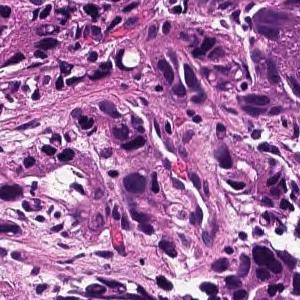
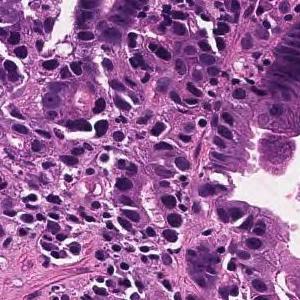
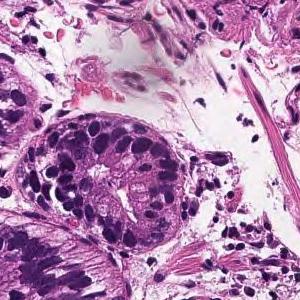
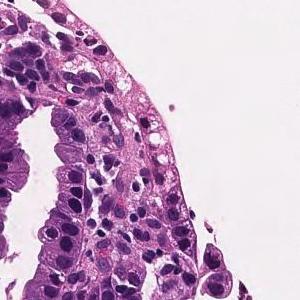
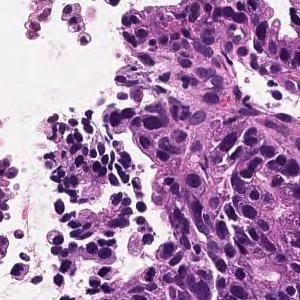
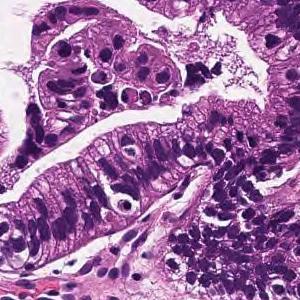
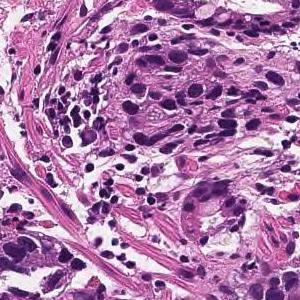
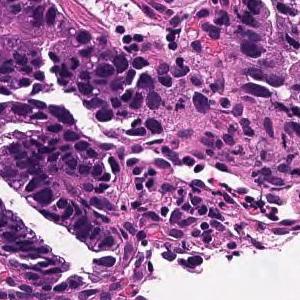
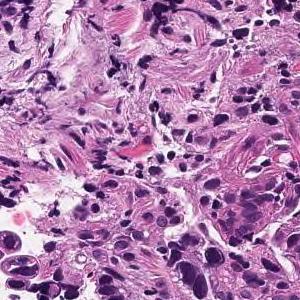
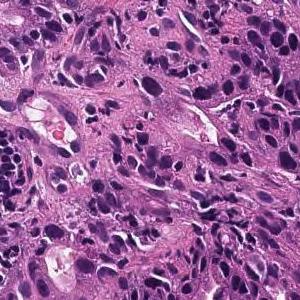
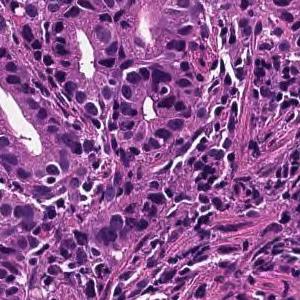
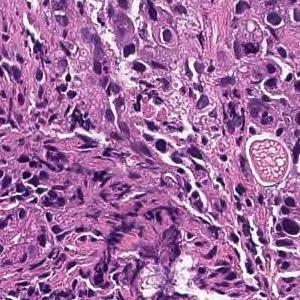
H&E stain; 12 patches cut from one gastric biopsy slide; each 300 × 300 pixels.
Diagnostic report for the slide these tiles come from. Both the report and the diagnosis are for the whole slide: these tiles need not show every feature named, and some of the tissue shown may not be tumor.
On the superficial epithelium, tumor tissue is found in which medium-sized irregular gland ducts fuse with each other and infiltrate. moderately differentiated tubular adenocarcinoma or Poorly differentiated adenocarcinoma, non-solid type
Classified as moderately to poorly differentiated adenocarcinoma.
The non-solid type named here is a Japanese Classification of Gastric Carcinoma category.
